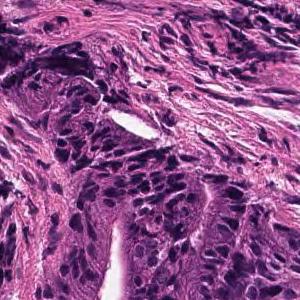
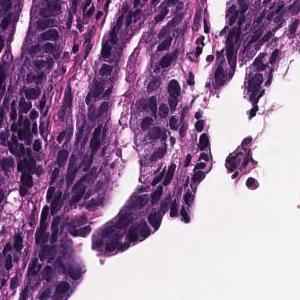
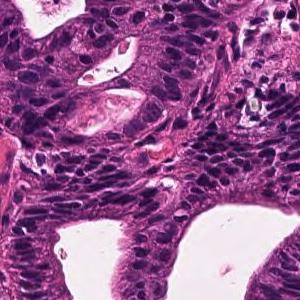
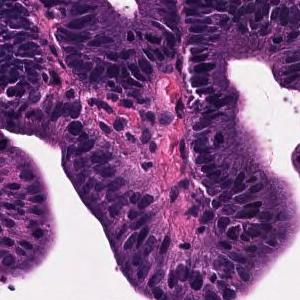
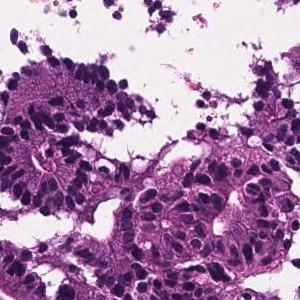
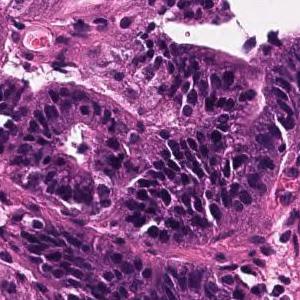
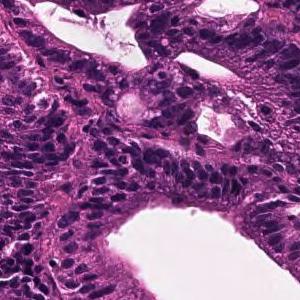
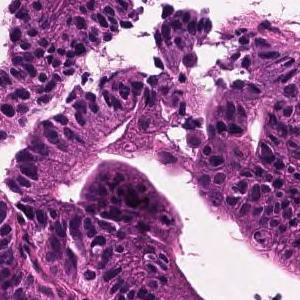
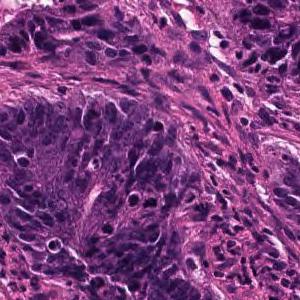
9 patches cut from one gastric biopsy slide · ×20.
The pathologist's report on the biopsy slide these tiles were taken from. The findings and the diagnosis refer to the entire slide; these tiles show only part of it, possibly with non-tumor tissue, and may not show every feature named.
Tumor tissue that remains within the superficial epithelium and is infiltrated by large papillary or irregular ducts that fuse with each other is observed. Well differentiated tubular adenocarcinoma
